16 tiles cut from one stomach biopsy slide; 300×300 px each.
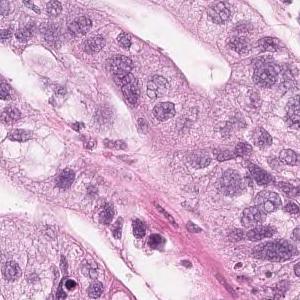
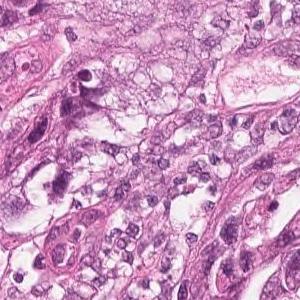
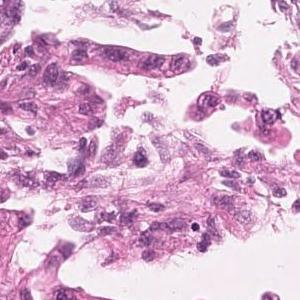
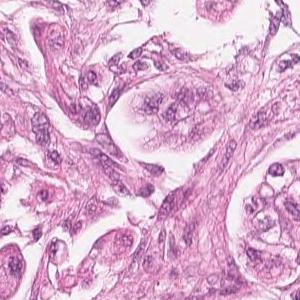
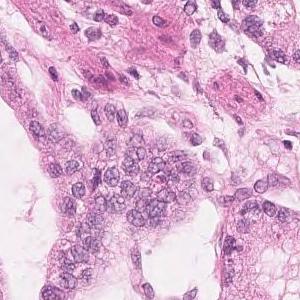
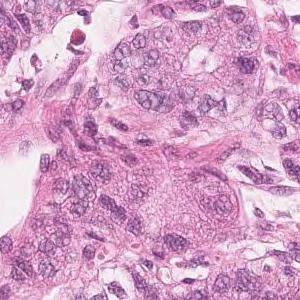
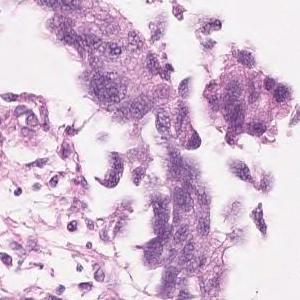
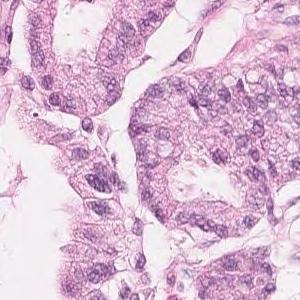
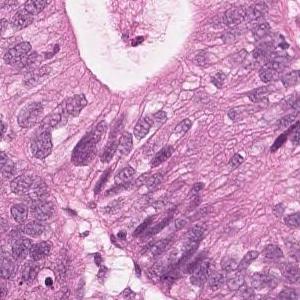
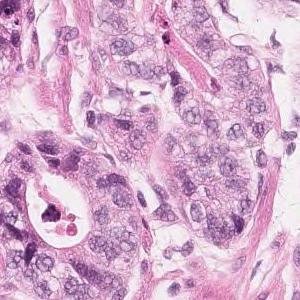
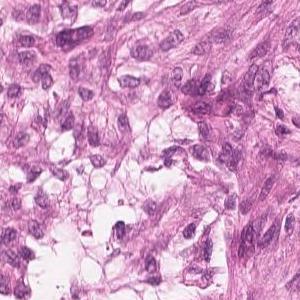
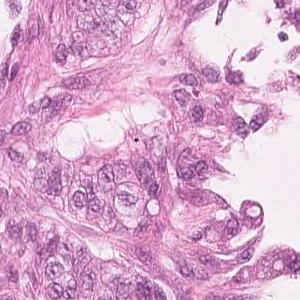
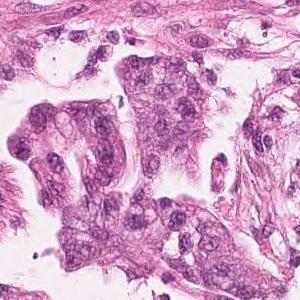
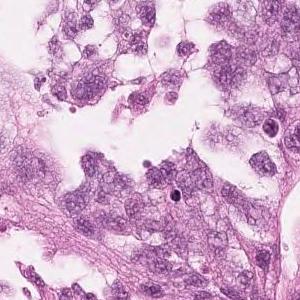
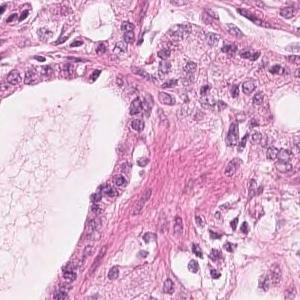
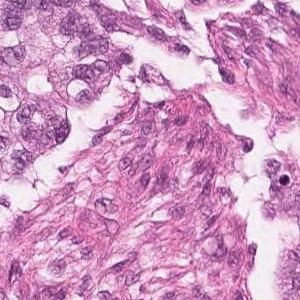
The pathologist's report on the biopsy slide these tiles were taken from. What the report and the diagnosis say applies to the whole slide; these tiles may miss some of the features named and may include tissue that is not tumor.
Highly columnar epithelium with disordered nuclear localization proliferates showing fusion ductal construction. moderately differentiated tubular adenocarcinoma
